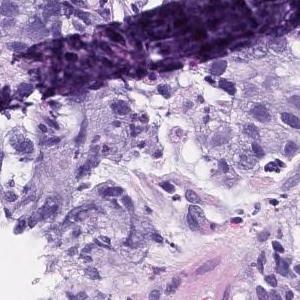
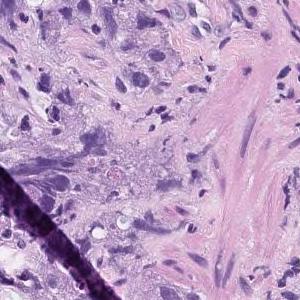
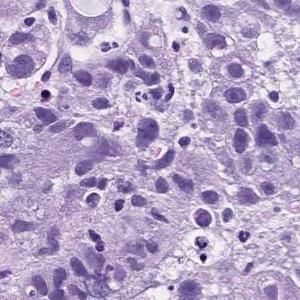
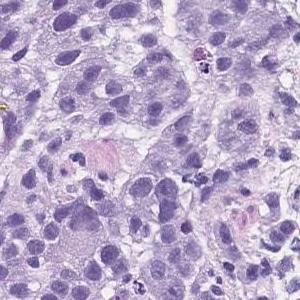
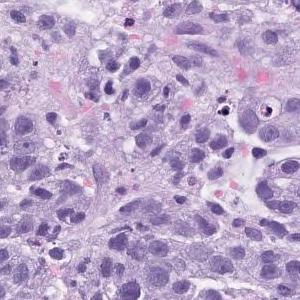
5 image tiles from a single gastric biopsy slide · 300×300 px each · H&E stain · ×20.
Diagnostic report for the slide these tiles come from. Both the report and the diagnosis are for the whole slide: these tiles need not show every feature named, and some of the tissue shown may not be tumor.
Atypical l cells with atypical nuclei forming solid vesicles or small irregular atypical ducts that proliferate in a complex manner. poorly differentiated adenocarcinoma, solid type, moderately differentiated tubular adenocarcinoma
The solid type named here is a Japanese Classification of Gastric Carcinoma category; WHO 2019 calls it tubular adenocarcinoma, poorly differentiated.
